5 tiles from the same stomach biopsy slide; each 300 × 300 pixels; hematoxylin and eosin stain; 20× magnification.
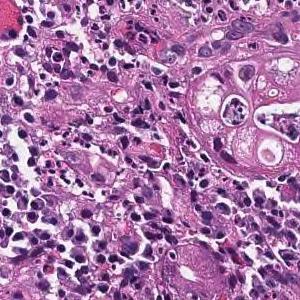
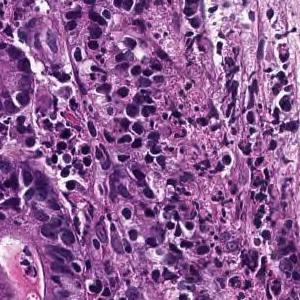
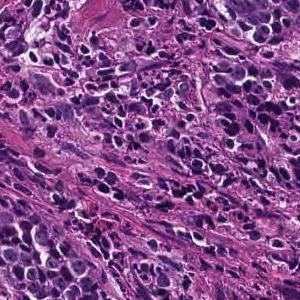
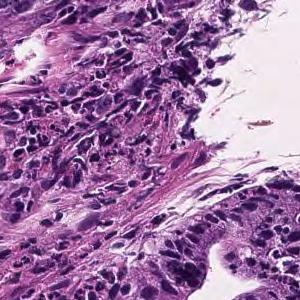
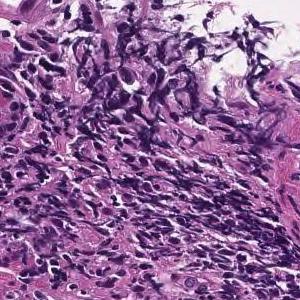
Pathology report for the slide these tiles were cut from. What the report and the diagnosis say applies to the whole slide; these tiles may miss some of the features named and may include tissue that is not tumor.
On the superficial epithelium, tumor tissue consisting of large, irregular glandular ducts partially fused and infiltrated is observed. Well to moderately differentiated tubular adenocarcinoma (well differentiated tubular adenocarcinoma, moderately differentiated tubular adenocarcinoma)
Tumor subtype: well to moderately differentiated tubular adenocarcinoma.
